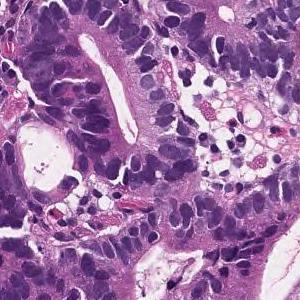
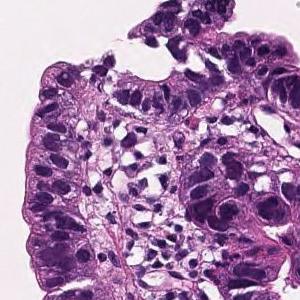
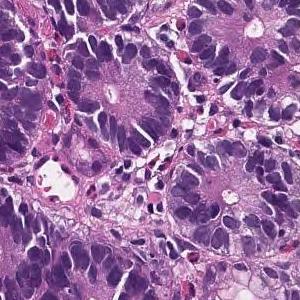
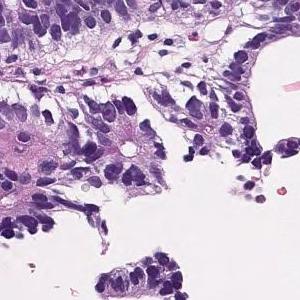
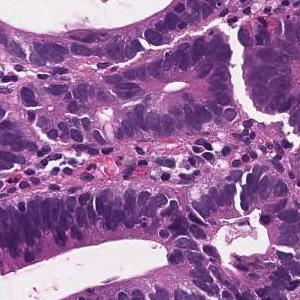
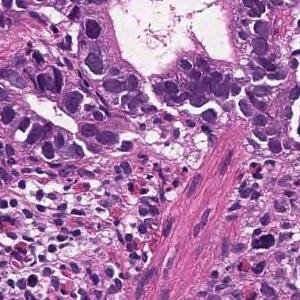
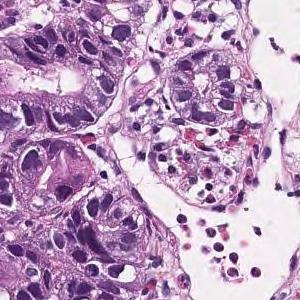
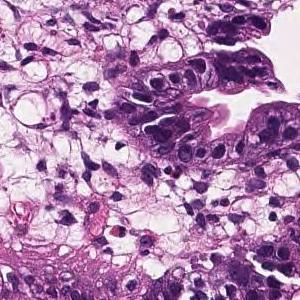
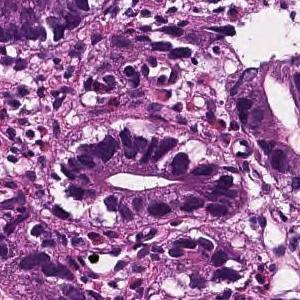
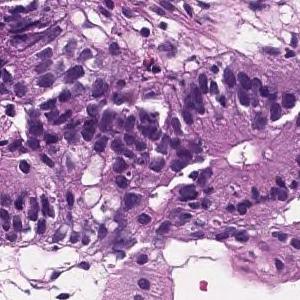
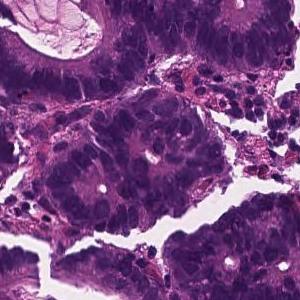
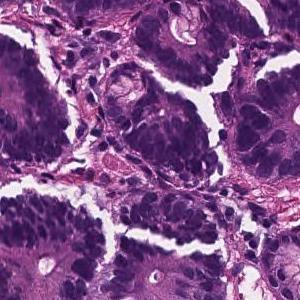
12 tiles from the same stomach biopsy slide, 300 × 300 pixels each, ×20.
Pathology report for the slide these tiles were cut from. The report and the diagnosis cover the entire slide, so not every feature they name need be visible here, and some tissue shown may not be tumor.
On the superficial epithelium, tumor tissue consisting of large, irregular glandular ducts partially fused and infiltrated is observed. Well to moderately differentiated tubular adenocarcinoma (well differentiated tubular adenocarcinoma, moderately differentiated tubular adenocarcinoma)
Tumor subtype: well to moderately differentiated tubular adenocarcinoma.
